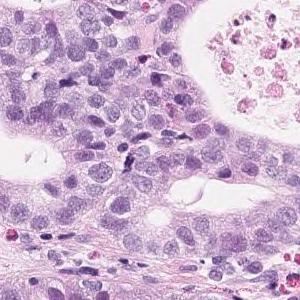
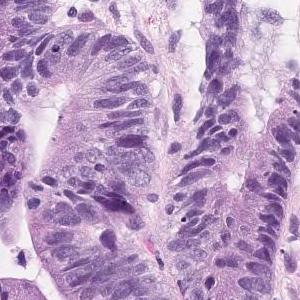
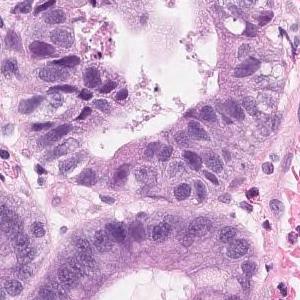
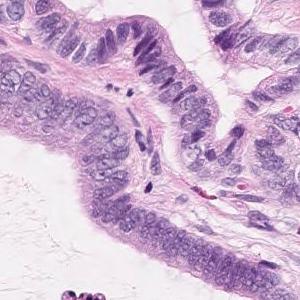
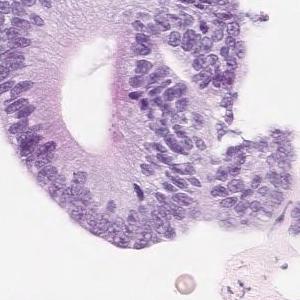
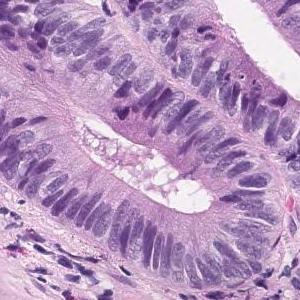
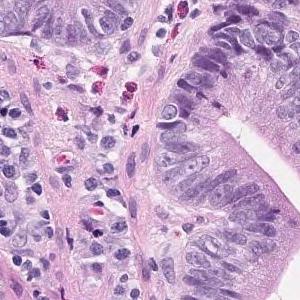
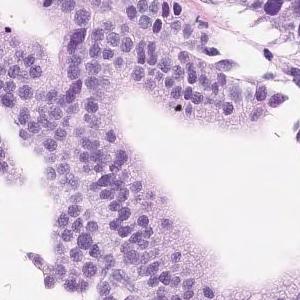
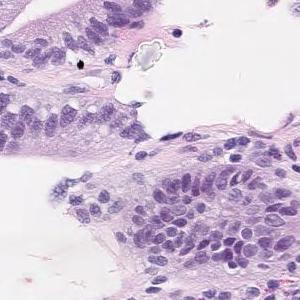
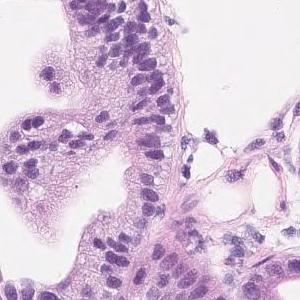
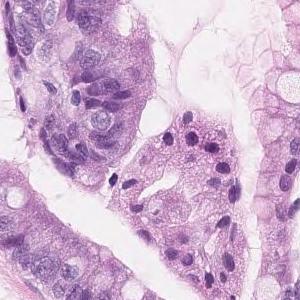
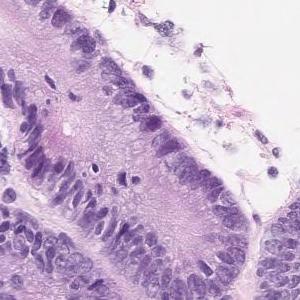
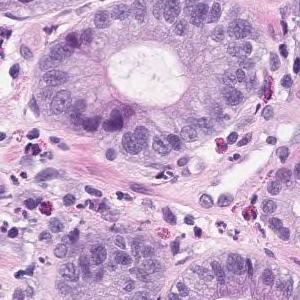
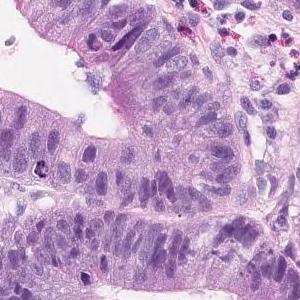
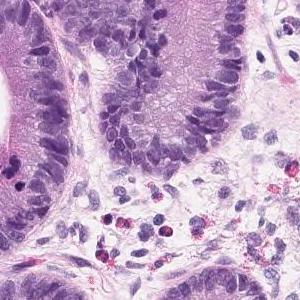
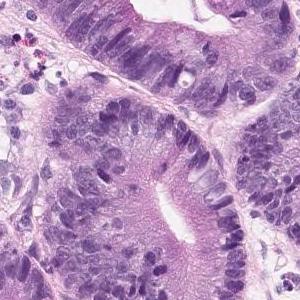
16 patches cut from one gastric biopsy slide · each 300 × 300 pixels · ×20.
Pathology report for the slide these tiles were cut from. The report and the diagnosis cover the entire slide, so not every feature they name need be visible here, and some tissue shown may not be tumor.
Short atypical epithelium with swelling of the nucleus shows proliferating, large and small irregular ductal structures. Well to moderately differentiated tubular adenocarcinoma (well differentiated tubular adenocarcinoma-moderately differentiated tubular adenocarcinoma)
Histologic type: Well to moderately differentiated tubular adenocarcinoma.
